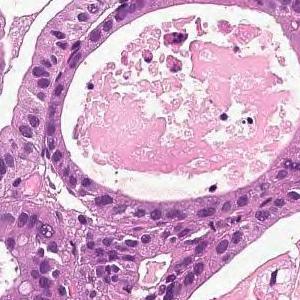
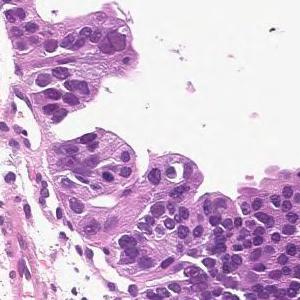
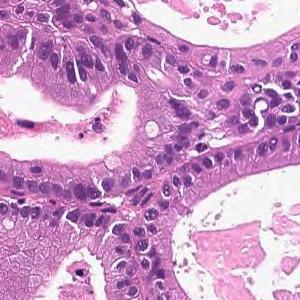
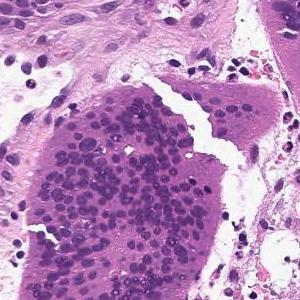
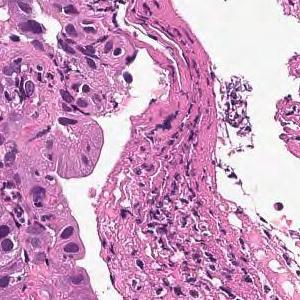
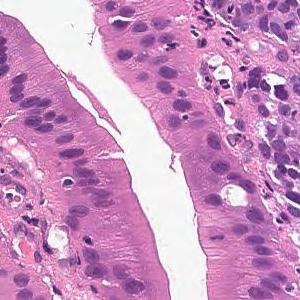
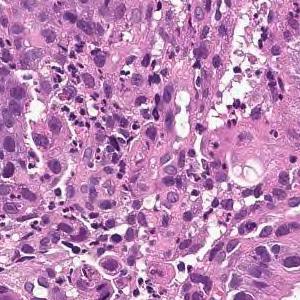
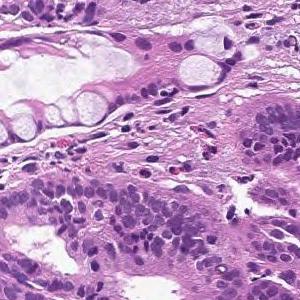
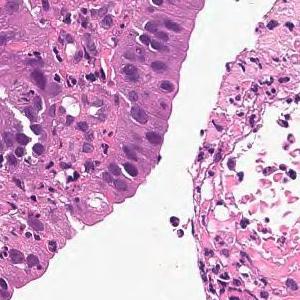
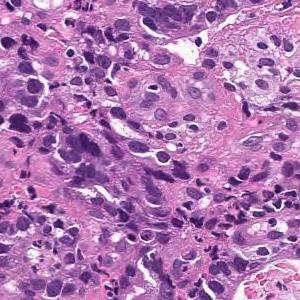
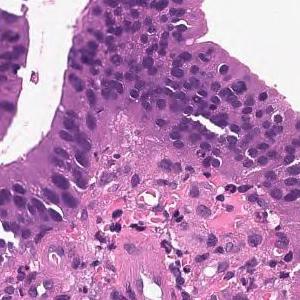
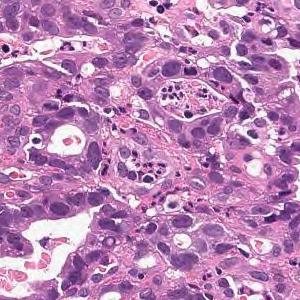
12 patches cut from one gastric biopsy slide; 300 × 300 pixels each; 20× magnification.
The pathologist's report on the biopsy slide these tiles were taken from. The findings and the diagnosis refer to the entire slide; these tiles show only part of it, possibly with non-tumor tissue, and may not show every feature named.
From the superficial epithelium to the muscularis mucosae, tumor tissue consisting of medium-sized and irregular glandular ducts infiltrating is observed. Well differentiated tubular adenocarcinoma
